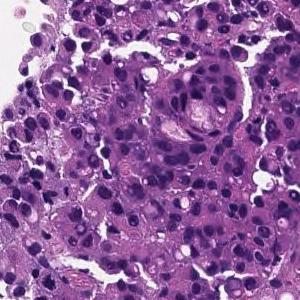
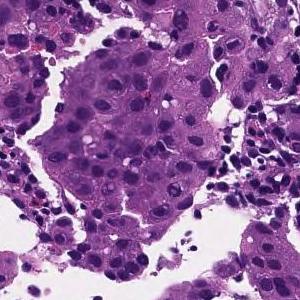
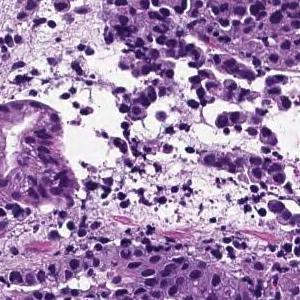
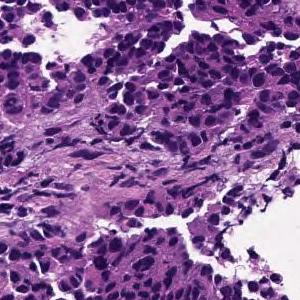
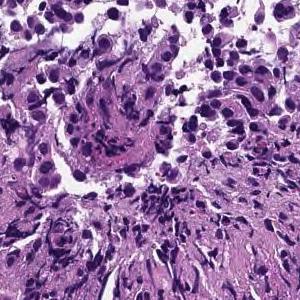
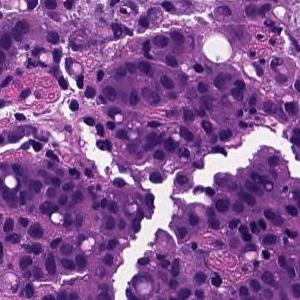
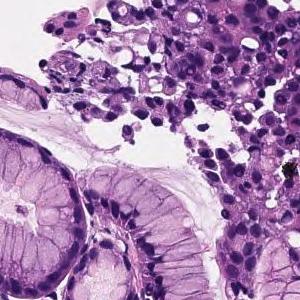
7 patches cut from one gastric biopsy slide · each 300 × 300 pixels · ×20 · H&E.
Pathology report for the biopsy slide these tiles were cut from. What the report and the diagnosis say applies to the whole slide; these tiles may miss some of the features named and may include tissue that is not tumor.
The superficial epithelium shows a large sheet-like shape, and some tumor tissue infiltrates with small irregular ducts. Poorly differentiated adenocarcinoma, solid-type
Tumor subtype: poorly differentiated adenocarcinoma, solid type (Japanese Classification of Gastric Carcinoma). The WHO 2019 equivalent is tubular adenocarcinoma, poorly differentiated.
